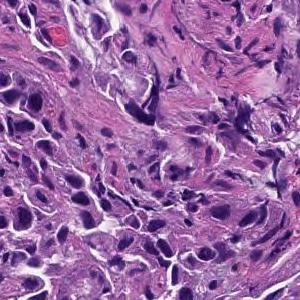
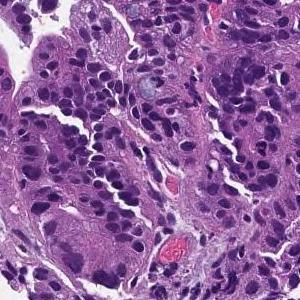
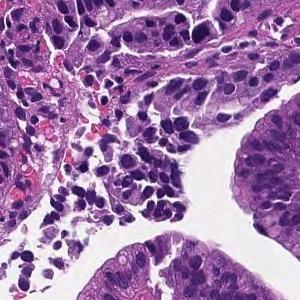
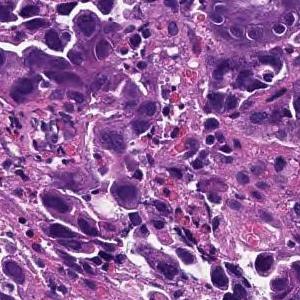
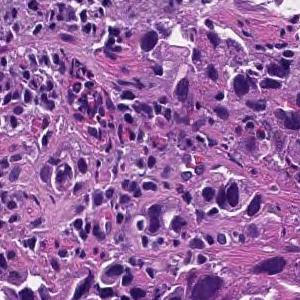
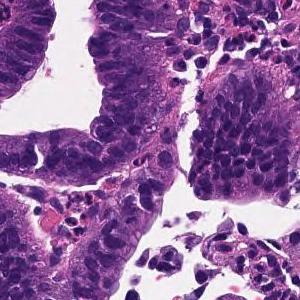
H&E, 6 patches cut from one gastric biopsy slide, 300 × 300 pixels each.
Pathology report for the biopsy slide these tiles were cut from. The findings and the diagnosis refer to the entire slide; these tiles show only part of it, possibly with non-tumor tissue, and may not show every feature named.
Tumor tissue consisting of medium-sized, cord-like or irregular glandular infiltration is observed in the superficial epithelium. Poorly differentiated adenocarcinoma, non-solid type or moderately differentiated tubular adenocarcinoma
Histological subtype: Moderately to poorly differentiated adenocarcinoma.
The non-solid type named here is a Japanese Classification of Gastric Carcinoma category.
